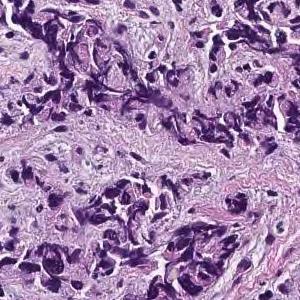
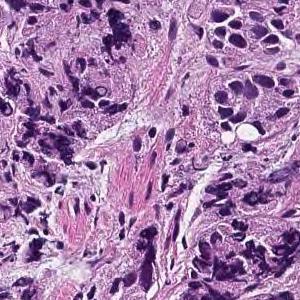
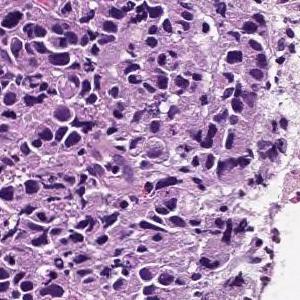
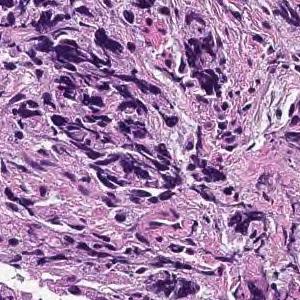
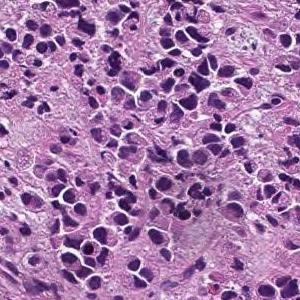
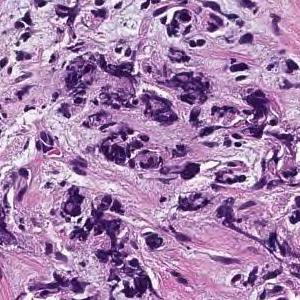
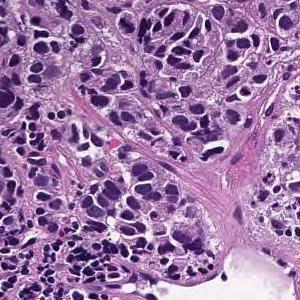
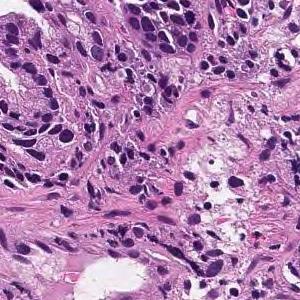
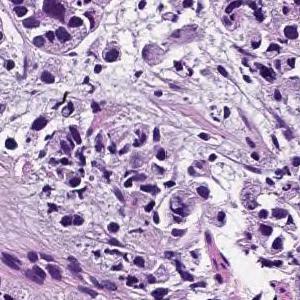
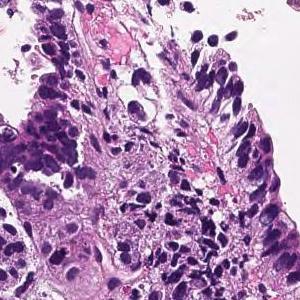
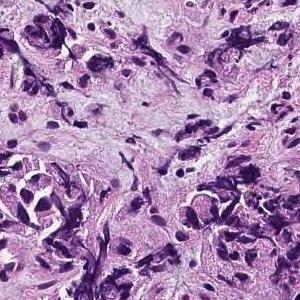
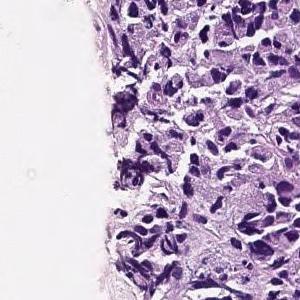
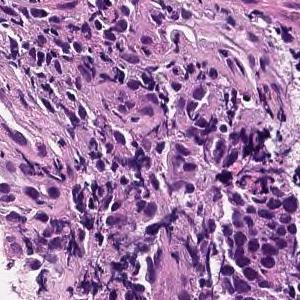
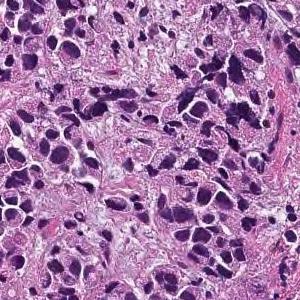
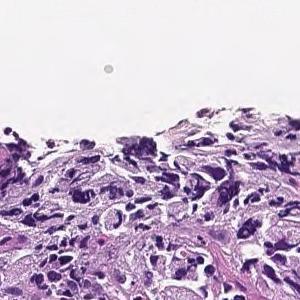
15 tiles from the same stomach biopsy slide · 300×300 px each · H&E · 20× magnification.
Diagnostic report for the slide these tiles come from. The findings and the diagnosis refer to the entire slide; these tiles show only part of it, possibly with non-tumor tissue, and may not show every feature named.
The lamina propria shows small cord-like tumor tissue that infiltrates with fibrosis and marked chronic inflammatory cell infiltration. Poorly differentiated adenocarcinoma, non-solid type
"Non-solid type" is a category of the Japanese Classification of Gastric Carcinoma.
